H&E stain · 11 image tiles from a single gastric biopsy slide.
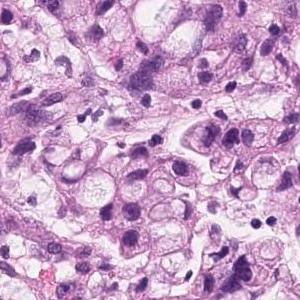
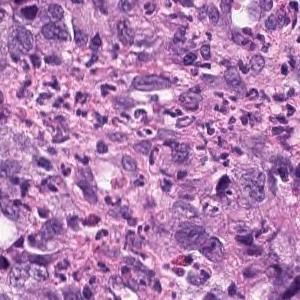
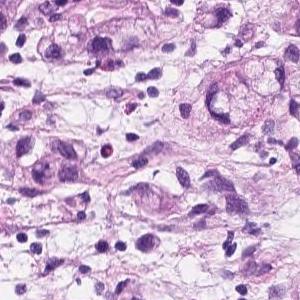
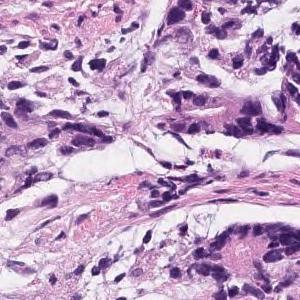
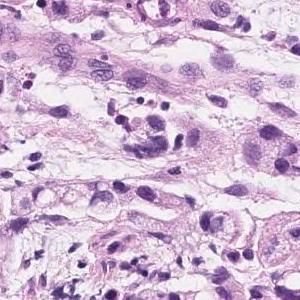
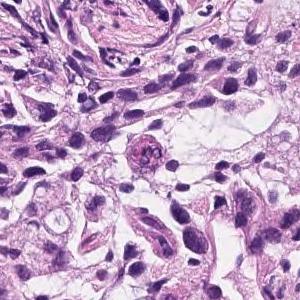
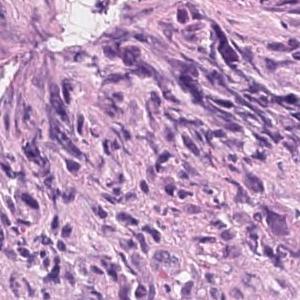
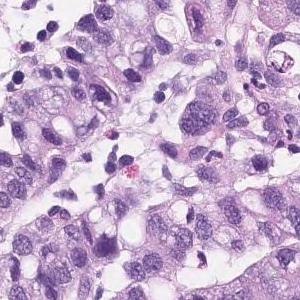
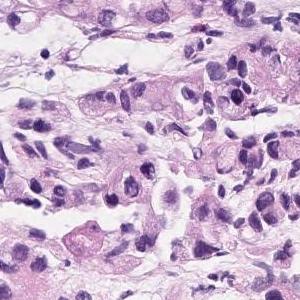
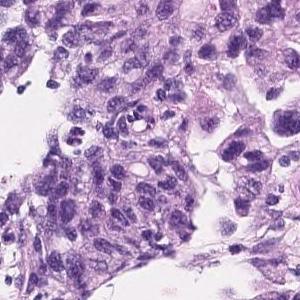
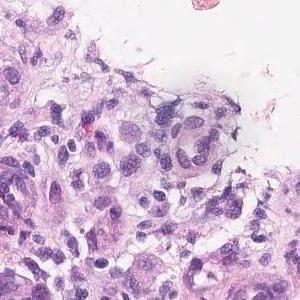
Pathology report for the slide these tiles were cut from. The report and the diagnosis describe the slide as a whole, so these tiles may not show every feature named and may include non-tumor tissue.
Group 5, Adenocarcinoma. Poorly differentiated adenocarcinoma, non-solid type
The term "non-solid type" comes from the Japanese Classification of Gastric Carcinoma.
